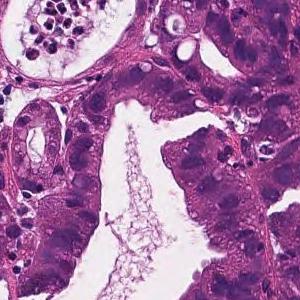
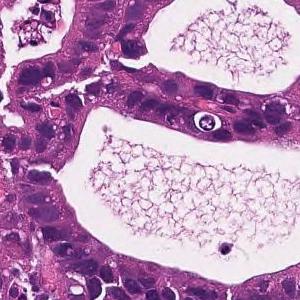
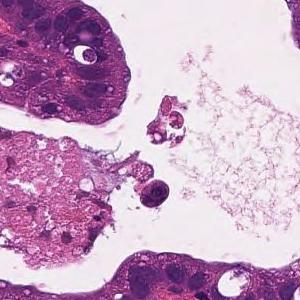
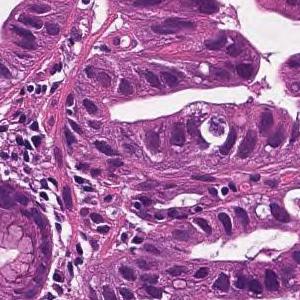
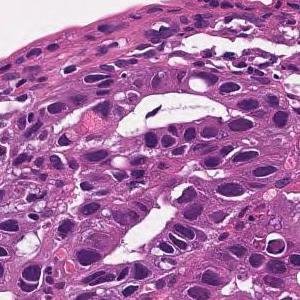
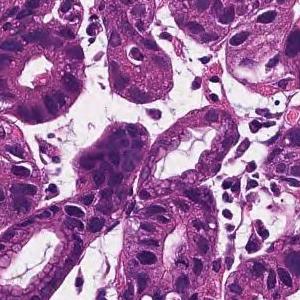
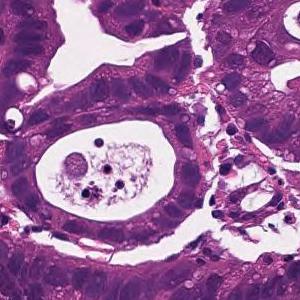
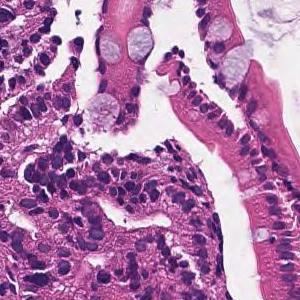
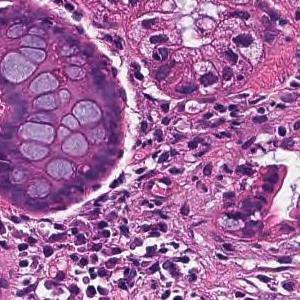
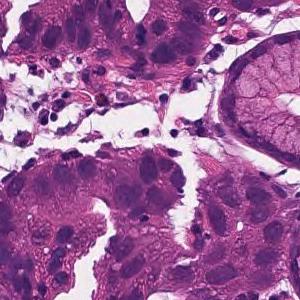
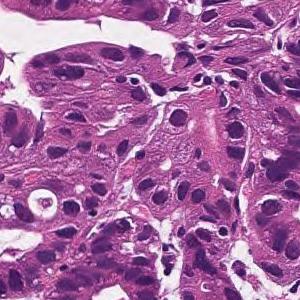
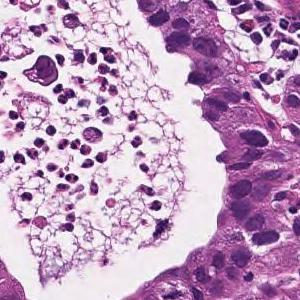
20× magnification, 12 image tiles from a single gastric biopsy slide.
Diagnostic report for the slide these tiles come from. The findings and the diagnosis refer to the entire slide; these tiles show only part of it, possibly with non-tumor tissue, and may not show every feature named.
In the superficial epithelium, tumor tissue that invades by forming medium-sized to small, irregular ducts is observed. moderately differentiated tubular adenocarcinoma.
